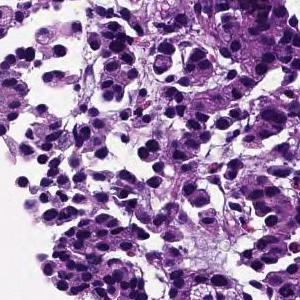
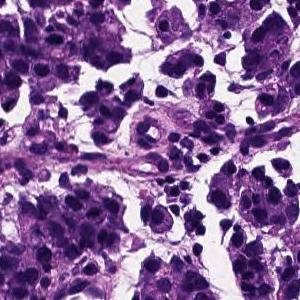
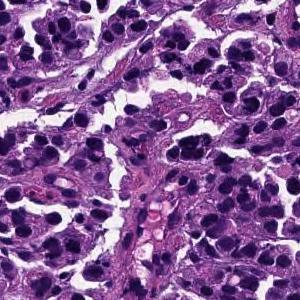
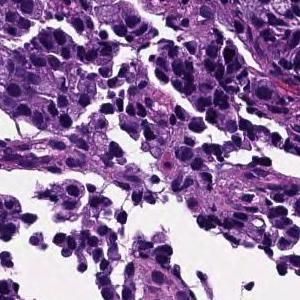
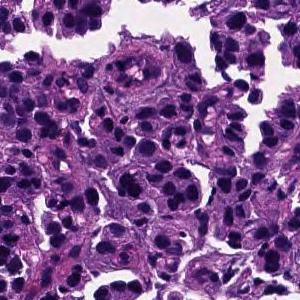
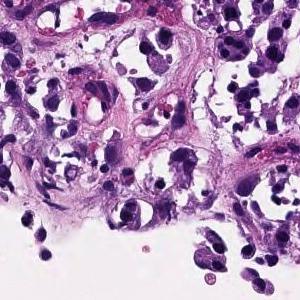
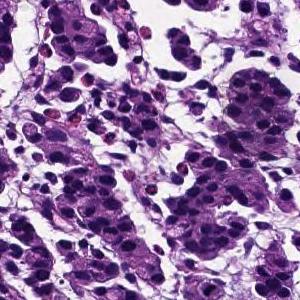
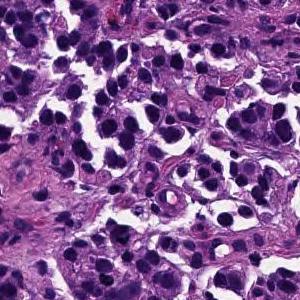
8 image tiles from a single gastric biopsy slide, hematoxylin and eosin stain.
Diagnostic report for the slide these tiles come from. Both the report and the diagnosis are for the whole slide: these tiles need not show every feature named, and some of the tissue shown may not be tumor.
The superficial epithelium shows a large alveolar shape and infiltrates tumor tissue. Poorly differentiated adenocarcinoma, solid-type
Classified as poorly differentiated adenocarcinoma, solid type. This name comes from the Japanese Classification of Gastric Carcinoma; the WHO 2019 classification calls it tubular adenocarcinoma, poorly differentiated.
